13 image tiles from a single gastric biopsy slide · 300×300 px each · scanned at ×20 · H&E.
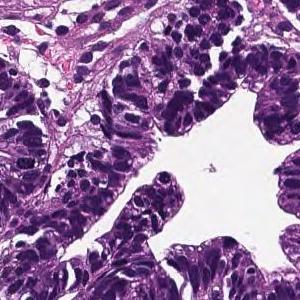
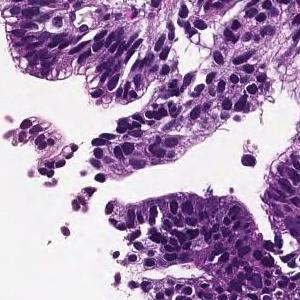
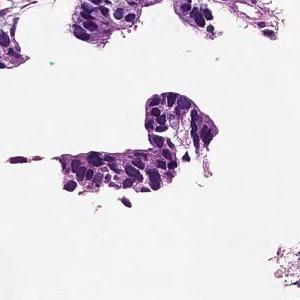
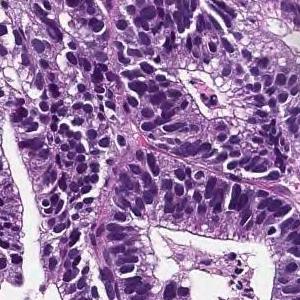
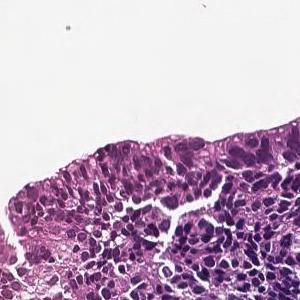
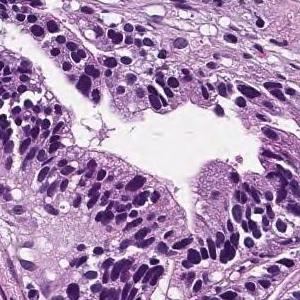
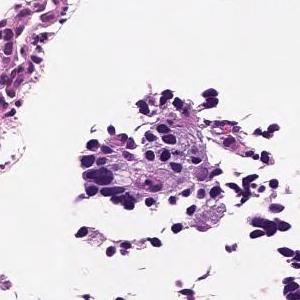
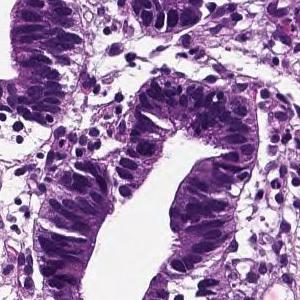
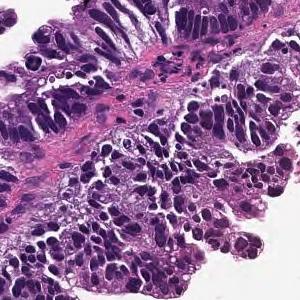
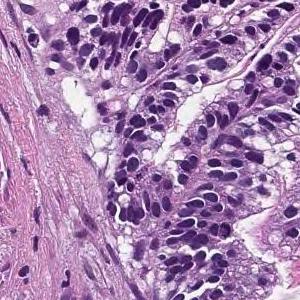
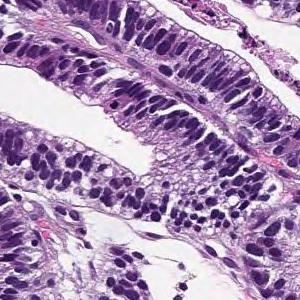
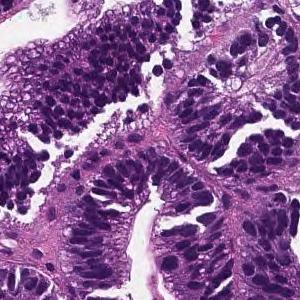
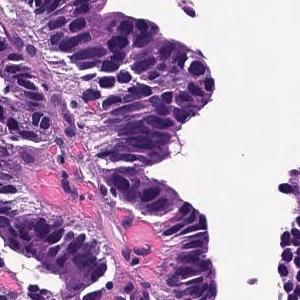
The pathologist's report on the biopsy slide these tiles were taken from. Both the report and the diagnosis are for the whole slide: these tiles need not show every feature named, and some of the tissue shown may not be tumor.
Tumor cells are large, highly columnar, large club-shaped nuclei, and are associated with chromatin aggregation. Papillary adenocarcinoma.
